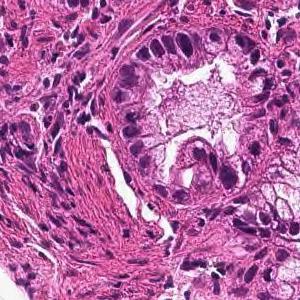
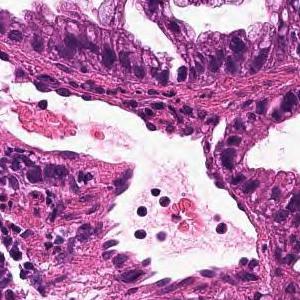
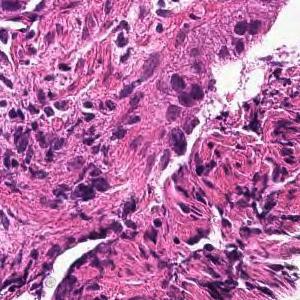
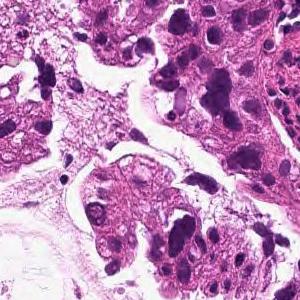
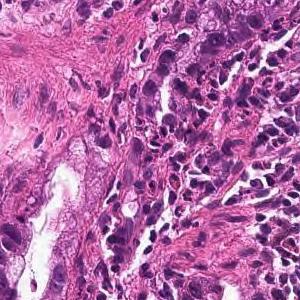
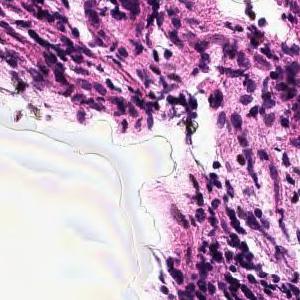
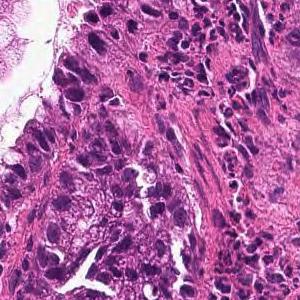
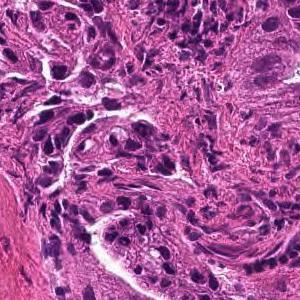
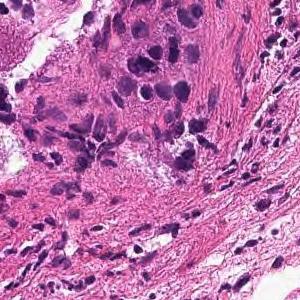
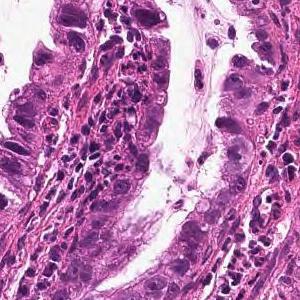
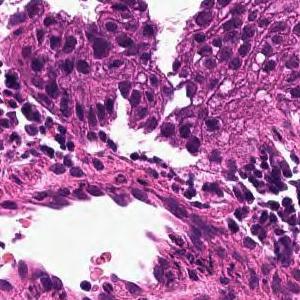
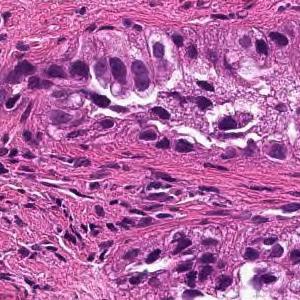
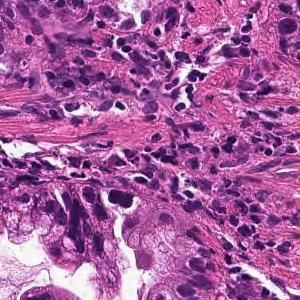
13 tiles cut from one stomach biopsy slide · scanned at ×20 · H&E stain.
The pathologist's report on the biopsy slide these tiles were taken from. The findings and the diagnosis refer to the entire slide; these tiles show only part of it, possibly with non-tumor tissue, and may not show every feature named.
From the superficial epithelium to the muscularis mucosae, tumor tissue infiltrating by forming medium-sized irregular gland ducts is observed. Well differentiated tubular adenocarcinoma
